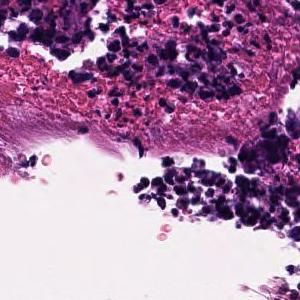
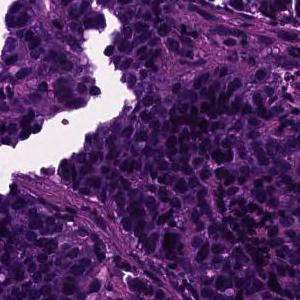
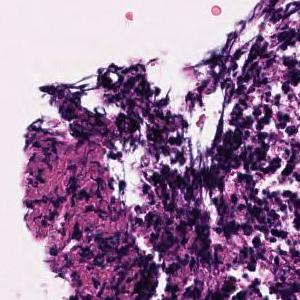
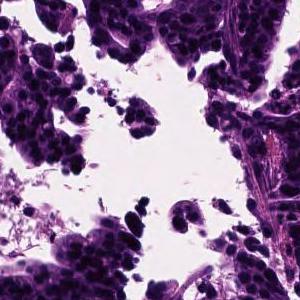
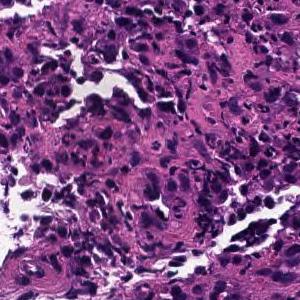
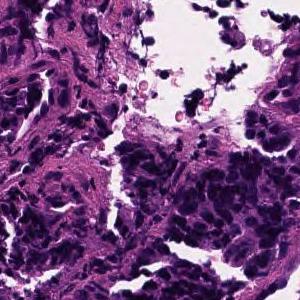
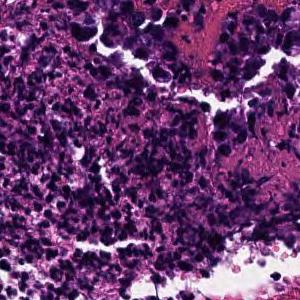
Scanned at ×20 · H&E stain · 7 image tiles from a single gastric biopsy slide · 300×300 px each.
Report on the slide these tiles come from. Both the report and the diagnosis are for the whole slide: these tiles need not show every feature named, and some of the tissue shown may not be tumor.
In the superficial epithelium, tumor tissue that invades by forming medium-sized to small, irregular ducts is observed. moderately differentiated tubular adenocarcinoma.
